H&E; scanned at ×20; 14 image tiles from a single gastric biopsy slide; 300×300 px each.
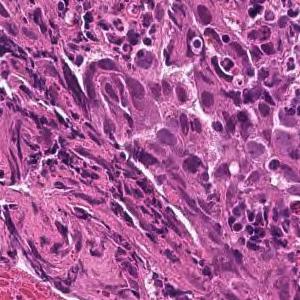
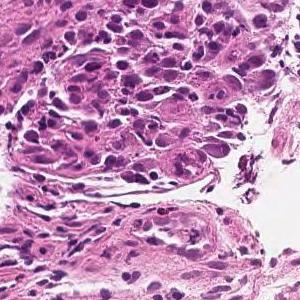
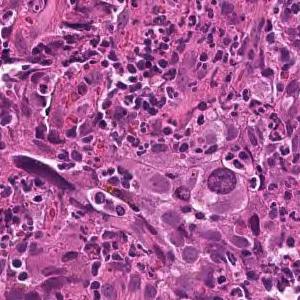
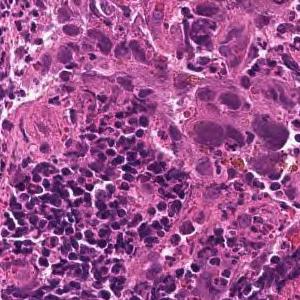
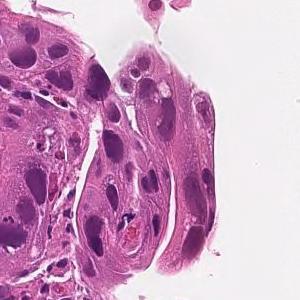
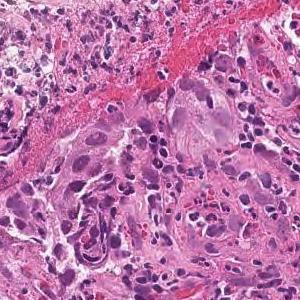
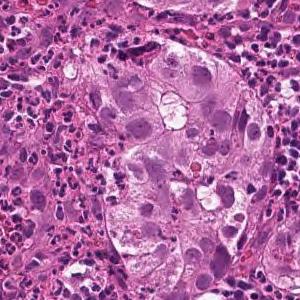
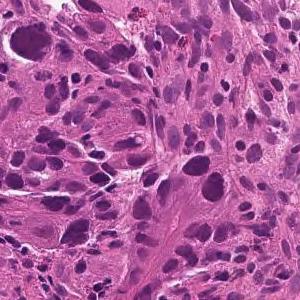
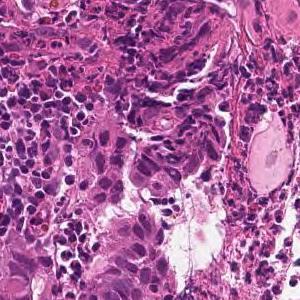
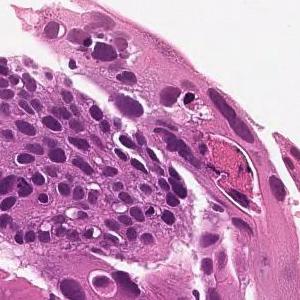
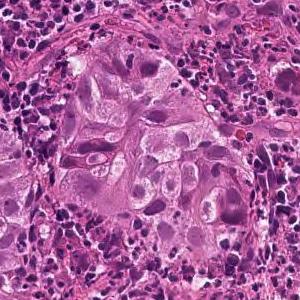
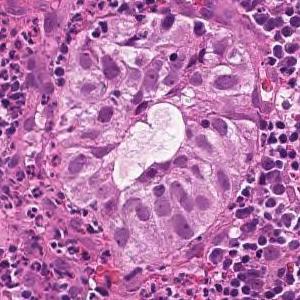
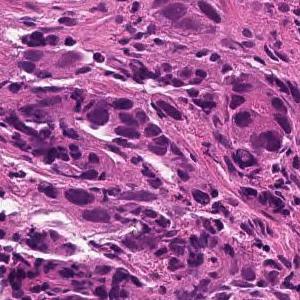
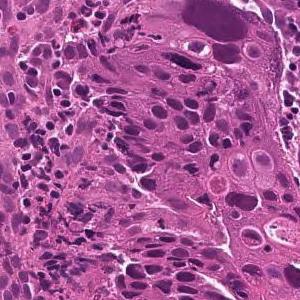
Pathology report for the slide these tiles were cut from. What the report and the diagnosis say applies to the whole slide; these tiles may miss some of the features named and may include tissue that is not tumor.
Large sheet-like or diffusely infiltrating tumor tissue is found in the superficial epithelium. Poorly differentiated adenocarcinoma, solid-type
Tumor subtype: poorly differentiated adenocarcinoma, solid type (Japanese Classification of Gastric Carcinoma). The WHO 2019 equivalent is tubular adenocarcinoma, poorly differentiated.
